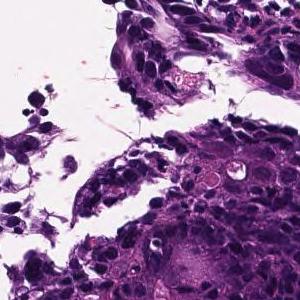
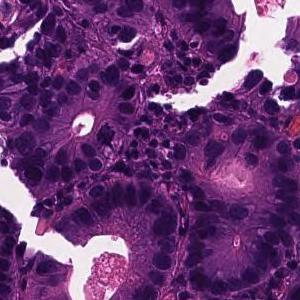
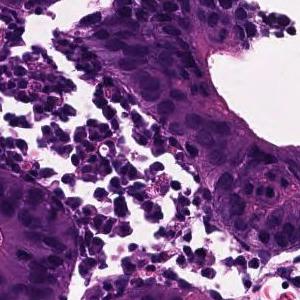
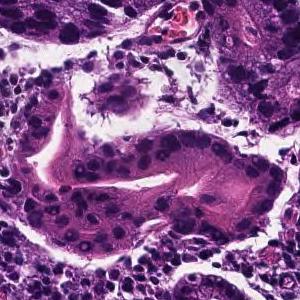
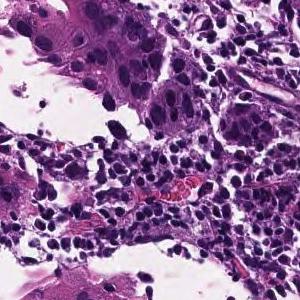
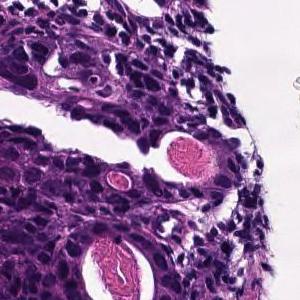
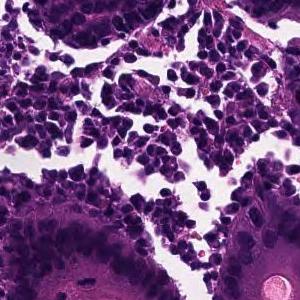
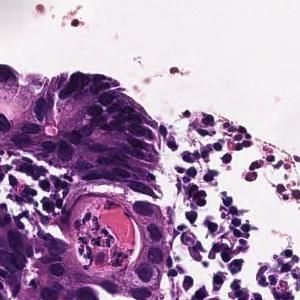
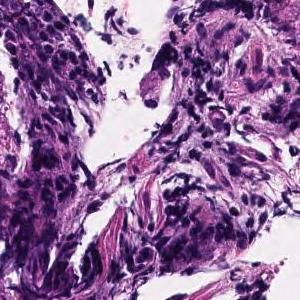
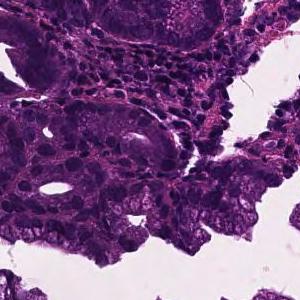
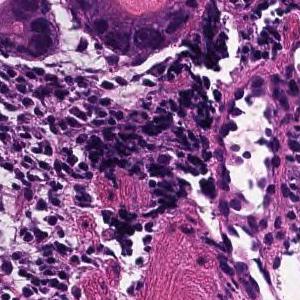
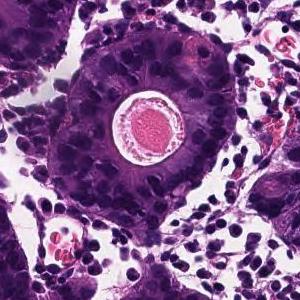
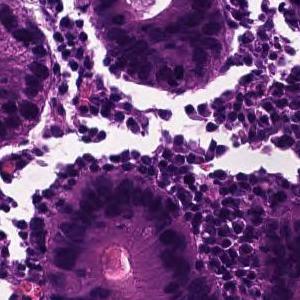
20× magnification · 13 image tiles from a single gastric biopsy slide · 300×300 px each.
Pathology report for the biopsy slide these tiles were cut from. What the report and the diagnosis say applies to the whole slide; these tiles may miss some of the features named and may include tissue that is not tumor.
From the superficial epithelium to the muscularis mucosae, tumor tissue infiltrating by forming medium-sized irregular gland ducts is observed. Large tumor cells exhibit large nucleus and hyperchromatism. Well differentiated tubular adenocarcinoma
